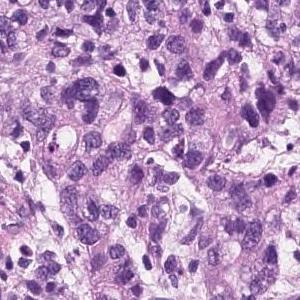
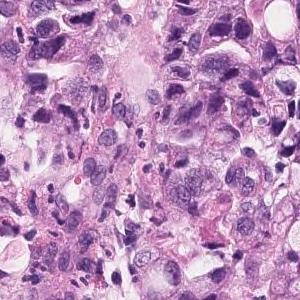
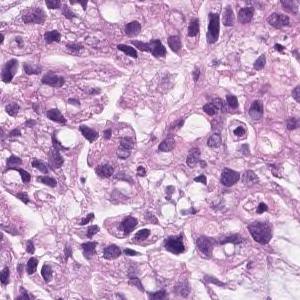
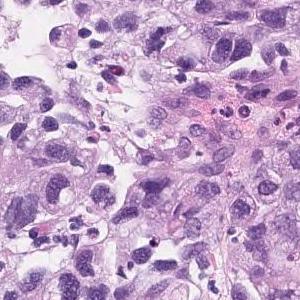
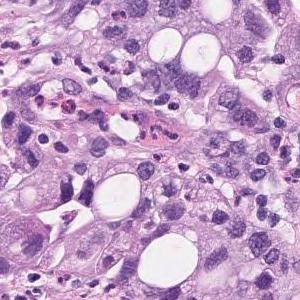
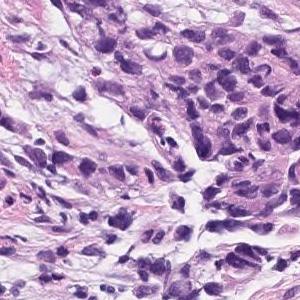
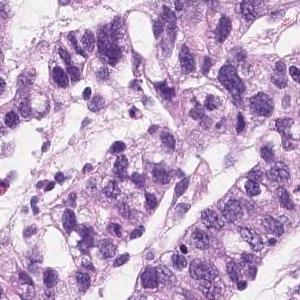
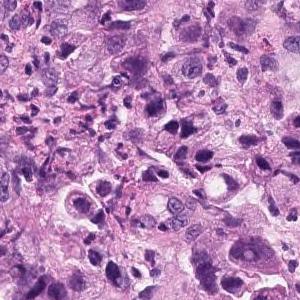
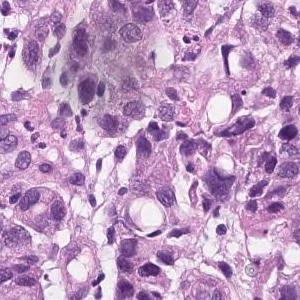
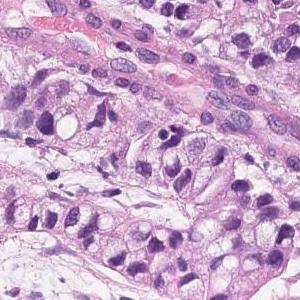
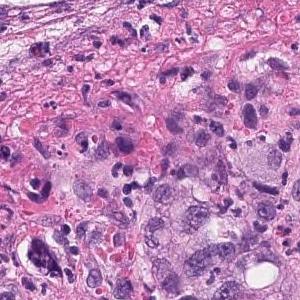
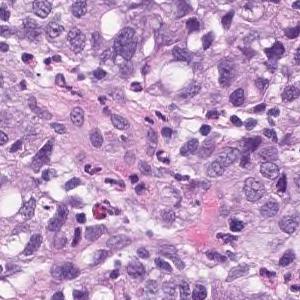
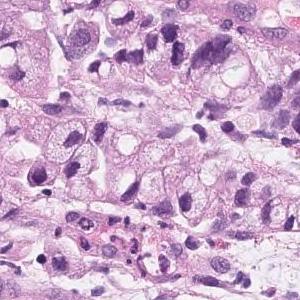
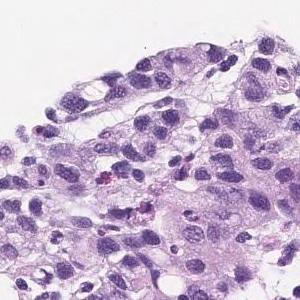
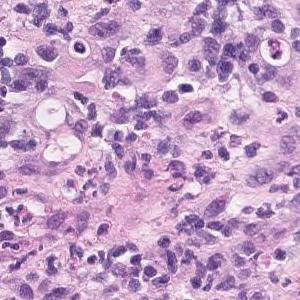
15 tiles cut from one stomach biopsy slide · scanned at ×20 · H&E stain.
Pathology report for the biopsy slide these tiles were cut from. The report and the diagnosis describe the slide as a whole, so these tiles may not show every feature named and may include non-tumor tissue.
Group 5, Adenocarcinoma. Poorly differentiated adenocarcinoma, non-solid type
The non-solid type named here is a Japanese Classification of Gastric Carcinoma category.
